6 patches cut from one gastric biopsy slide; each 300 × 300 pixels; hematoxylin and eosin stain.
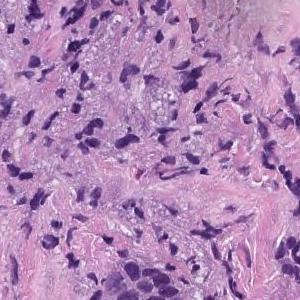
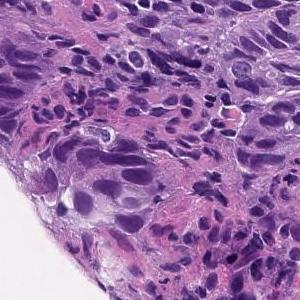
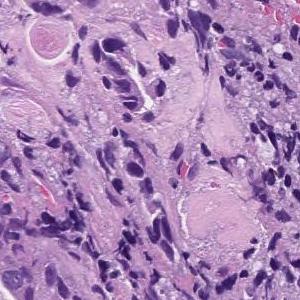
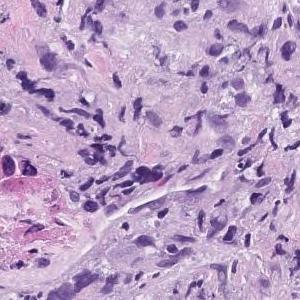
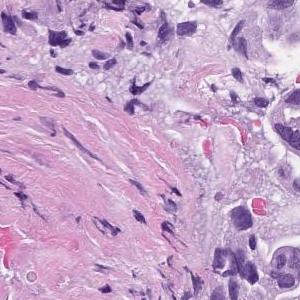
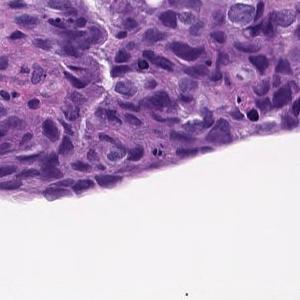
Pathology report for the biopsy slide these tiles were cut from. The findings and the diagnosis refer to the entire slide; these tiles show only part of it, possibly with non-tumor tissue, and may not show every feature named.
In the superficial epithelium, tumor tissue that invades by forming medium-sized to small, irregular ducts is observed. moderately differentiated tubular adenocarcinoma.
